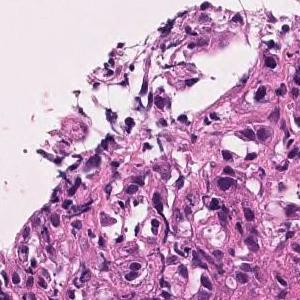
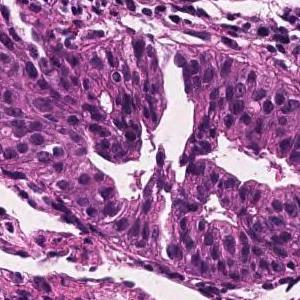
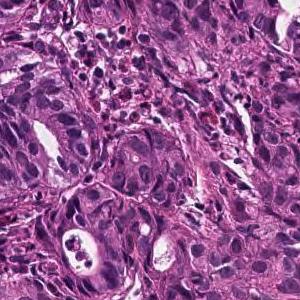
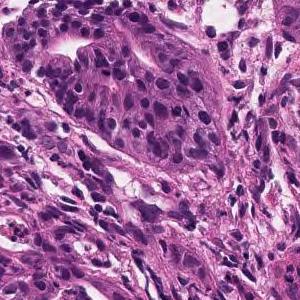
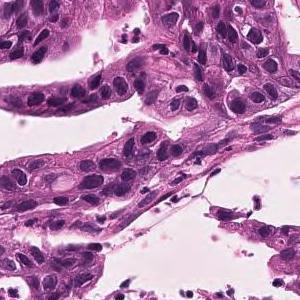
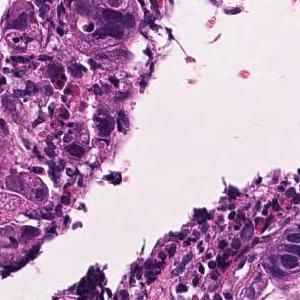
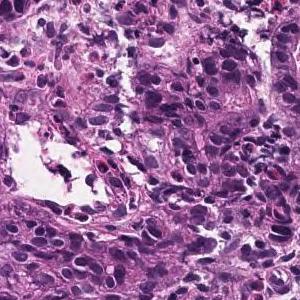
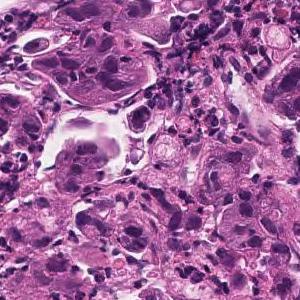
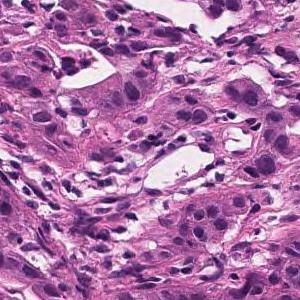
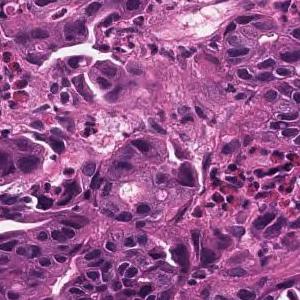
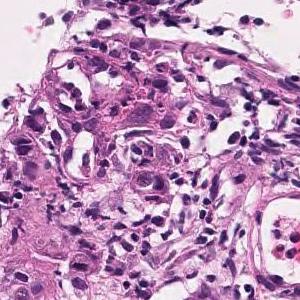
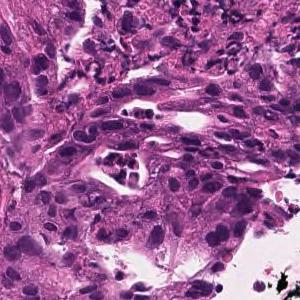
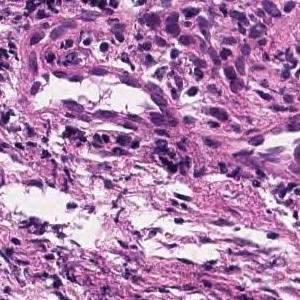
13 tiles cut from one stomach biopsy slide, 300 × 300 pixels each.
Report on the slide these tiles come from. What the report and the diagnosis say applies to the whole slide; these tiles may miss some of the features named and may include tissue that is not tumor.
Tumor tissue consisting of medium-sized, cord-like or irregular glandular infiltration is observed in the superficial epithelium. Poorly differentiated adenocarcinoma, non-solid type or moderately differentiated tubular adenocarcinoma
"Non-solid type" is a category of the Japanese Classification of Gastric Carcinoma.
